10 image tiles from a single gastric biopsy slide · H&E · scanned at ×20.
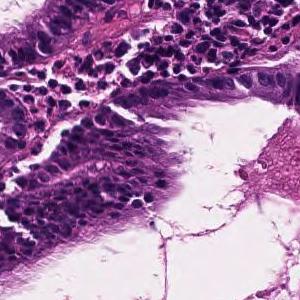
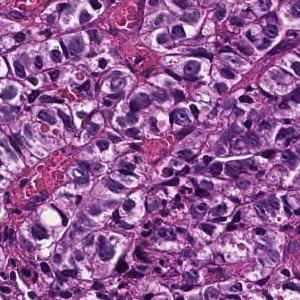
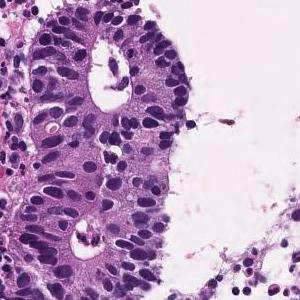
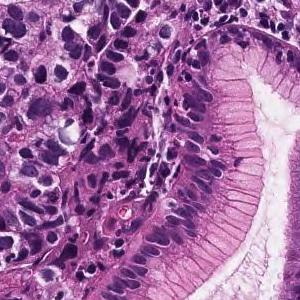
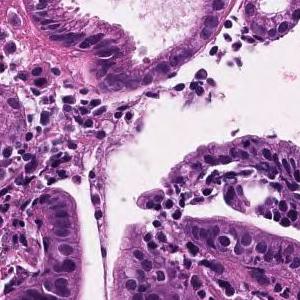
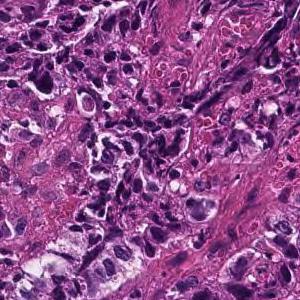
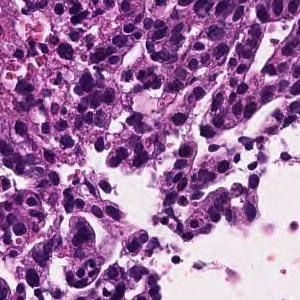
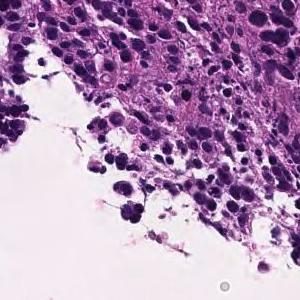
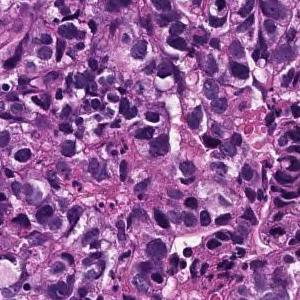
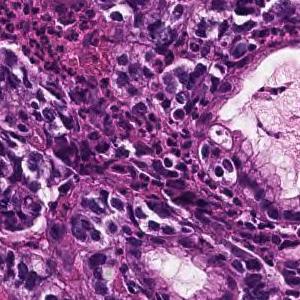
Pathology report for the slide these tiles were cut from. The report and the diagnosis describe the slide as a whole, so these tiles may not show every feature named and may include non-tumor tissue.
In the superficial epithelium, tumor tissue that invades by forming medium-sized to small, irregular ducts is observed. moderately differentiated tubular adenocarcinoma.
